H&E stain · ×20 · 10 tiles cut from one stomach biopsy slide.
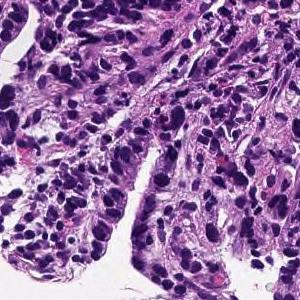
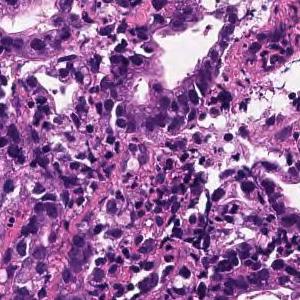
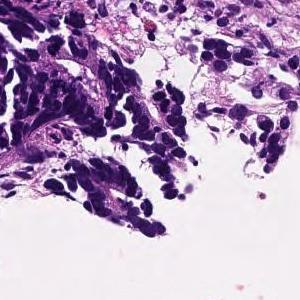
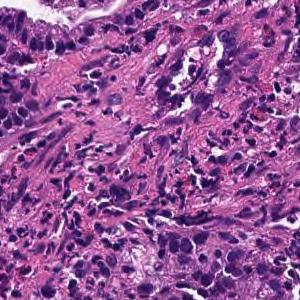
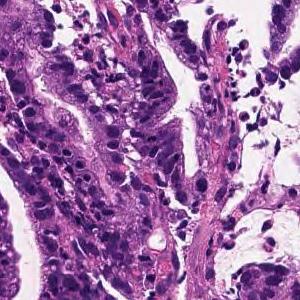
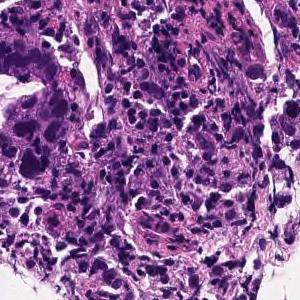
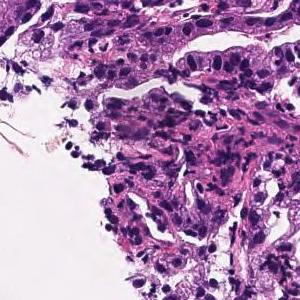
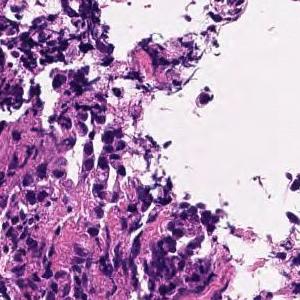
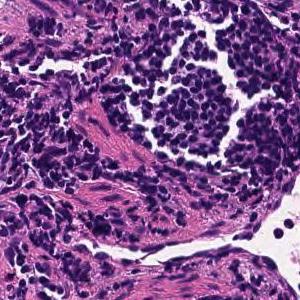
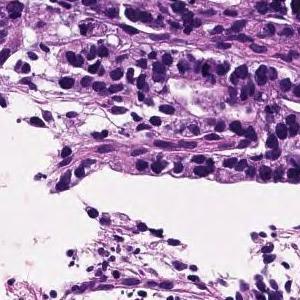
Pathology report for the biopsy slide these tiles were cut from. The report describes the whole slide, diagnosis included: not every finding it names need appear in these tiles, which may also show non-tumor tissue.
On the superficial epithelium, tumor tissue consisting of large, irregular glandular ducts partially fused and infiltrated is observed. Well to moderately differentiated tubular adenocarcinoma (well differentiated tubular adenocarcinoma, moderately differentiated tubular adenocarcinoma)
Histological subtype: Well to moderately differentiated tubular adenocarcinoma.
